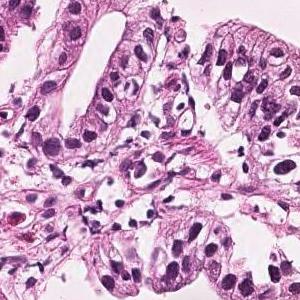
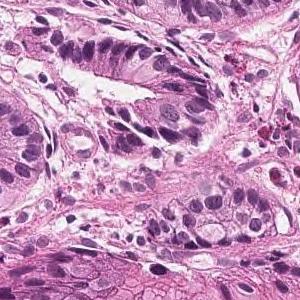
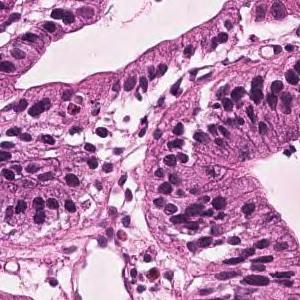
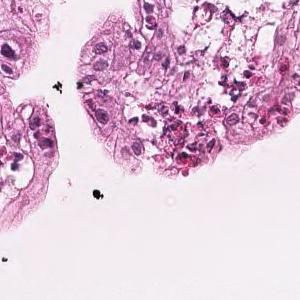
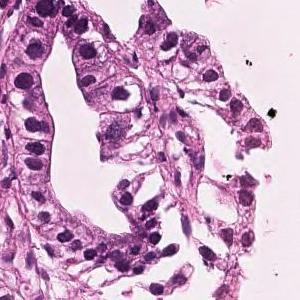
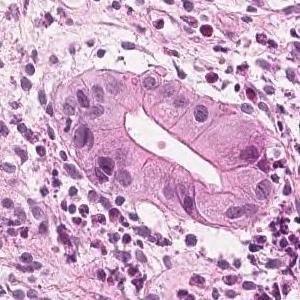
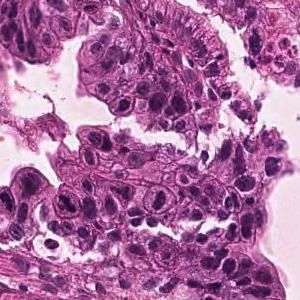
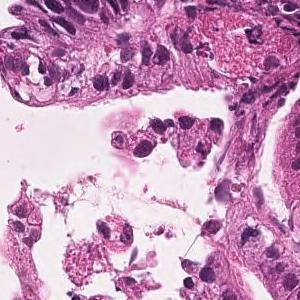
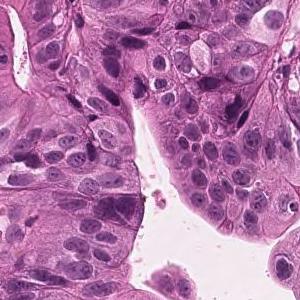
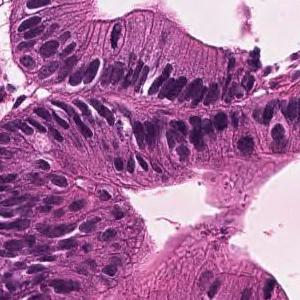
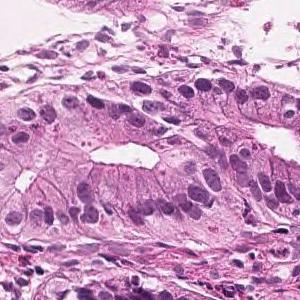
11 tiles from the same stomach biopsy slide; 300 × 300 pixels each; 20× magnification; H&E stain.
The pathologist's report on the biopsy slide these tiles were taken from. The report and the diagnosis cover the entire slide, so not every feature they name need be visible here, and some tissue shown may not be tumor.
Tumor tissue consisting of medium-sized and irregular ducts is observed infiltrating in the superficial epithelium. Tumor cells are highly columnar, with nuclei aligned basolaterally and polarized. Well differentiated tubular adenocarcinoma.
